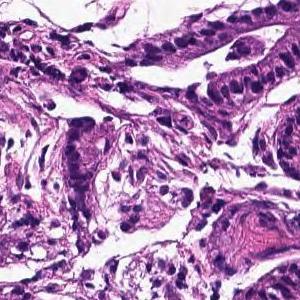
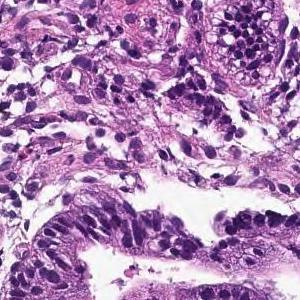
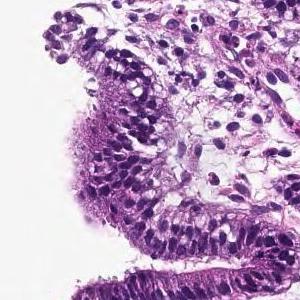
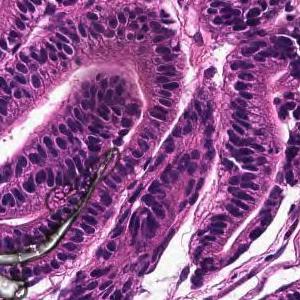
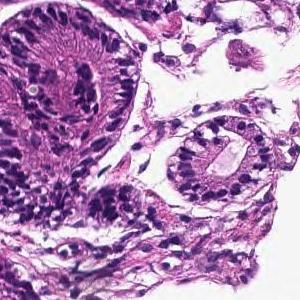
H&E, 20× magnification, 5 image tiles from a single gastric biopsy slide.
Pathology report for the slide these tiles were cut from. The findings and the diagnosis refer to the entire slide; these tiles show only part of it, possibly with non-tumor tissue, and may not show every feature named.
On the superficial epithelium, tumor tissue that infiltrates by forming medium-sized round or small irregular ducts is observed. Papillary adenocarcinoma
